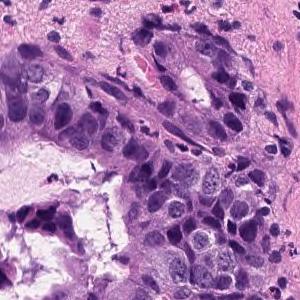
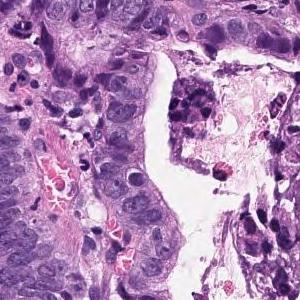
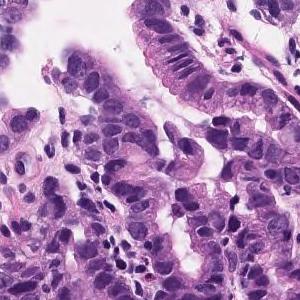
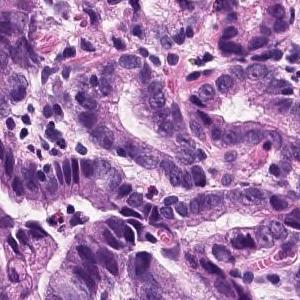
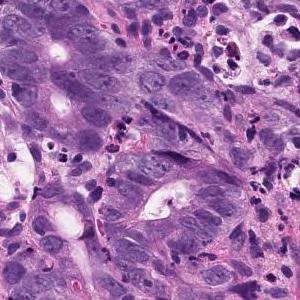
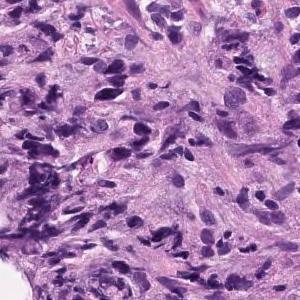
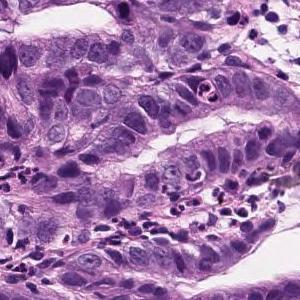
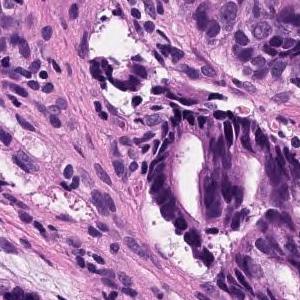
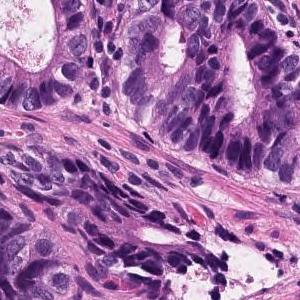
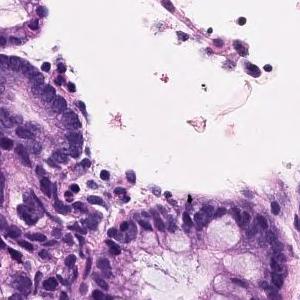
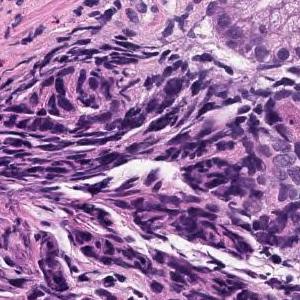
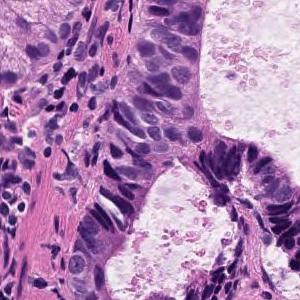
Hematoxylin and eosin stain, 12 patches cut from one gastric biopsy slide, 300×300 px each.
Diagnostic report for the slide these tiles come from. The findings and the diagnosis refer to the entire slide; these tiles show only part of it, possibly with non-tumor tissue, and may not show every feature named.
The swollen atypical epithelium of the nucleus forms an irregular ductal structure and proliferates. moderately differentiated tubular adenocarcinoma
